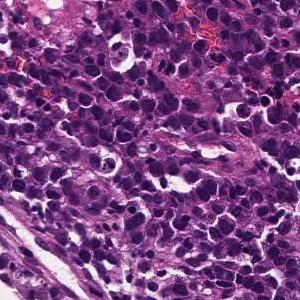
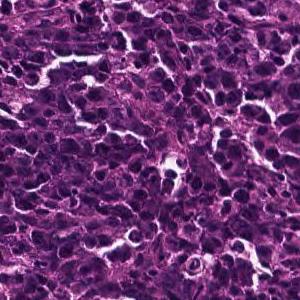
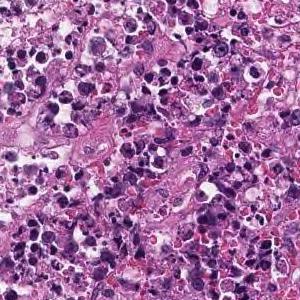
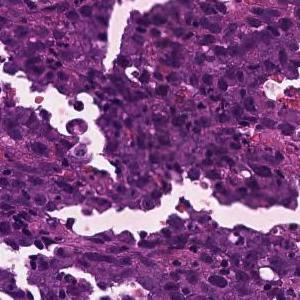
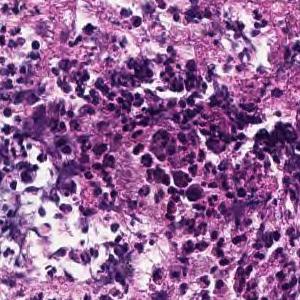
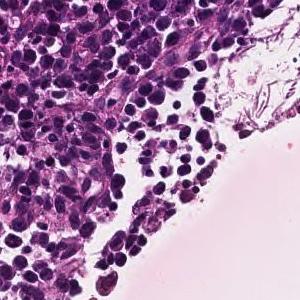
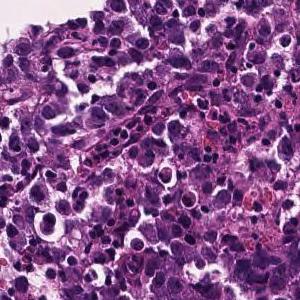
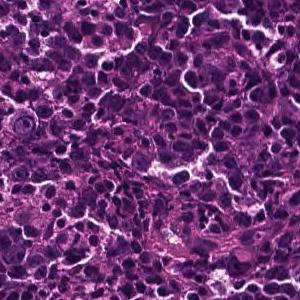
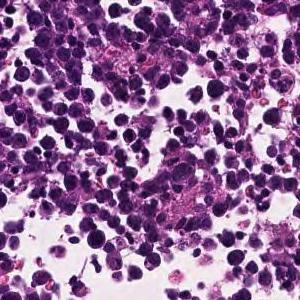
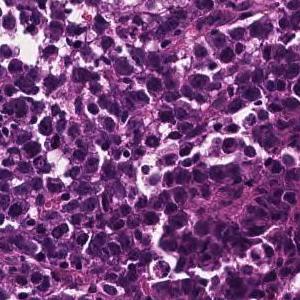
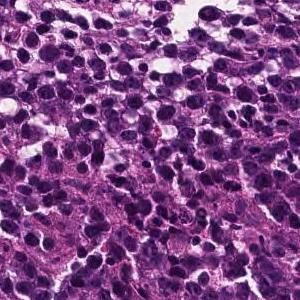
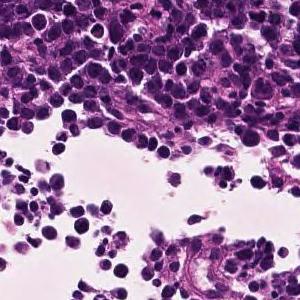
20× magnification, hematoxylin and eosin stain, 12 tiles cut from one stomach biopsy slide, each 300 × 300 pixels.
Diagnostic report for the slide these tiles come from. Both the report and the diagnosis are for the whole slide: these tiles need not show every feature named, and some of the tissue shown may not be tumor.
The superficial epithelium shows a large sheet-like shape, and some tumor tissue infiltrates with small irregular ducts. Poorly differentiated adenocarcinoma, solid-type
Classified as poorly differentiated adenocarcinoma, solid type (Japanese Classification of Gastric Carcinoma). The WHO 2019 equivalent is tubular adenocarcinoma, poorly differentiated.
